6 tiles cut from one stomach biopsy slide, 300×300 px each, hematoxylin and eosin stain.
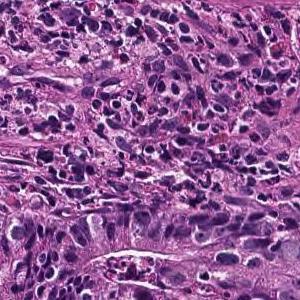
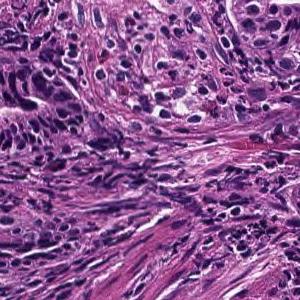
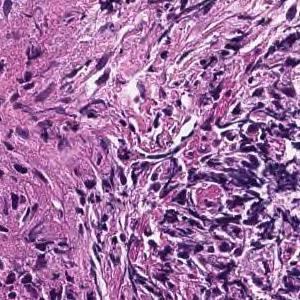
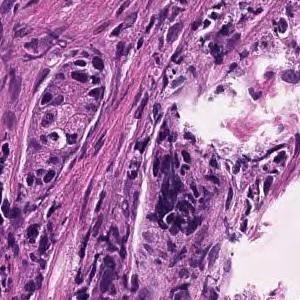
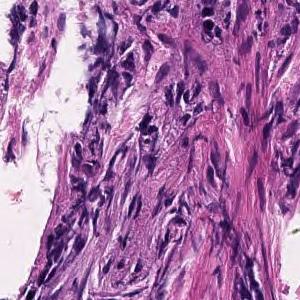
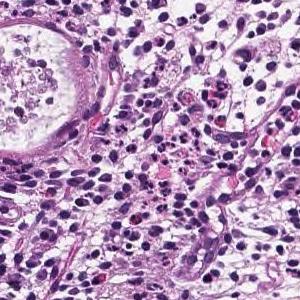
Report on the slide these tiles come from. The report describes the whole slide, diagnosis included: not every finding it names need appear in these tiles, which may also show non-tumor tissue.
On the superficial epithelium, tumor tissue consisting of large, irregular glandular ducts partially fused and infiltrated is observed. Well to moderately differentiated tubular adenocarcinoma (well differentiated tubular adenocarcinoma, moderately differentiated tubular adenocarcinoma)
Histologic type: Well to moderately differentiated tubular adenocarcinoma.
